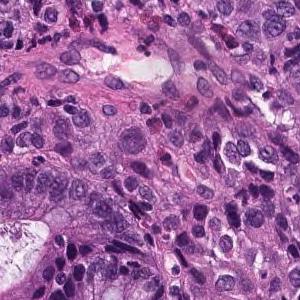
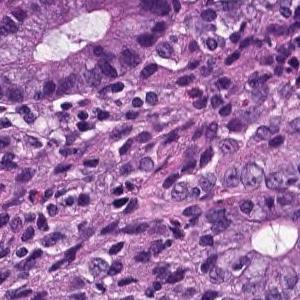
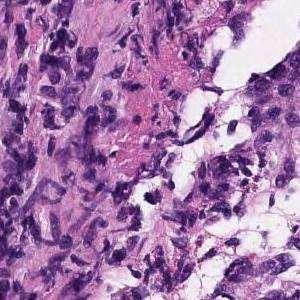
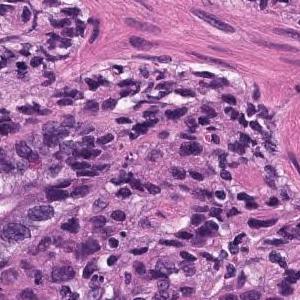
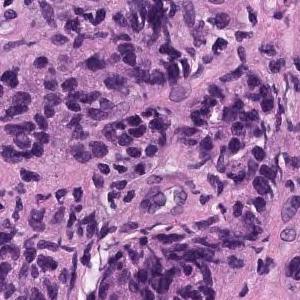
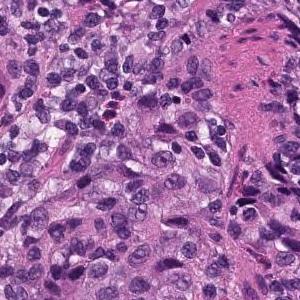
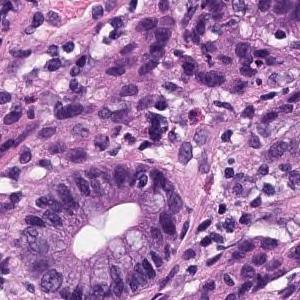
Scanned at ×20; 7 patches cut from one gastric biopsy slide.
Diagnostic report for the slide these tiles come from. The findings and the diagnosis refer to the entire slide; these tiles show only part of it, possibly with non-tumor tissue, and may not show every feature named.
In the superficial epithelium, tumor tissue that invades by forming medium-sized to small, irregular ducts is observed. Moderately differentiated adenocarcinoma.
Histologic type: Moderately differentiated tubular adenocarcinoma.
